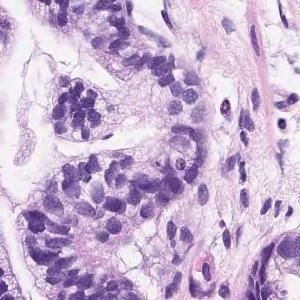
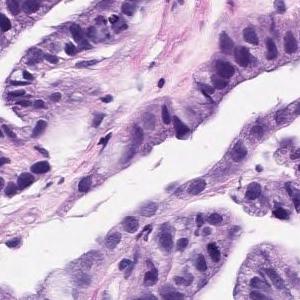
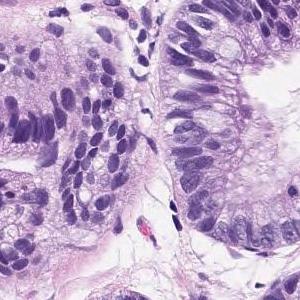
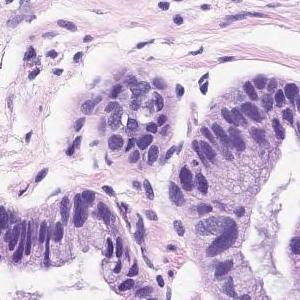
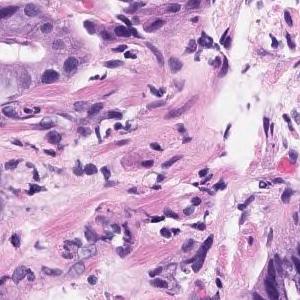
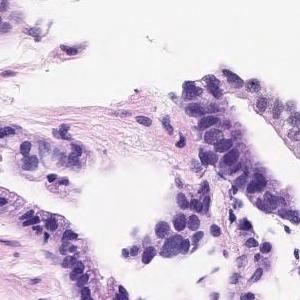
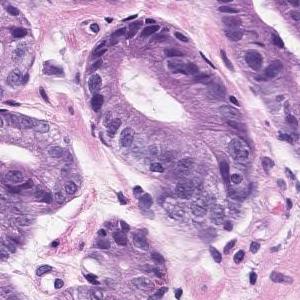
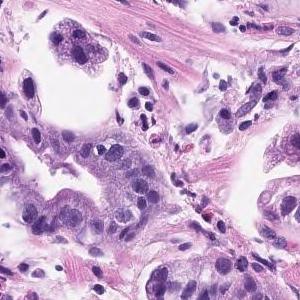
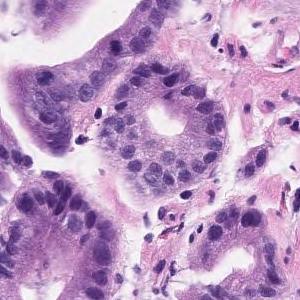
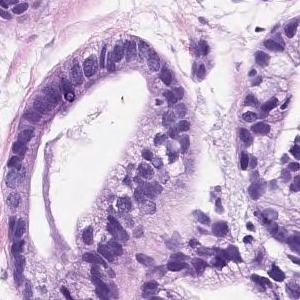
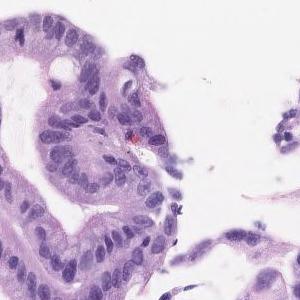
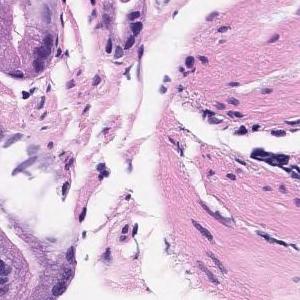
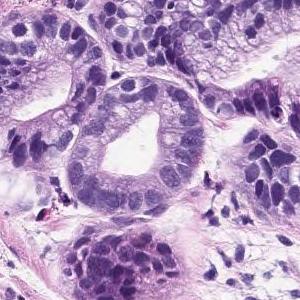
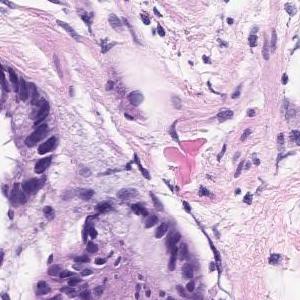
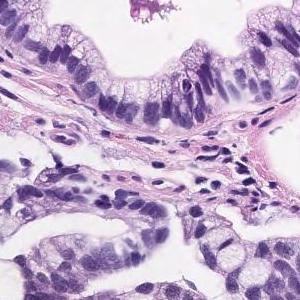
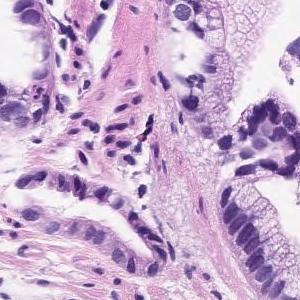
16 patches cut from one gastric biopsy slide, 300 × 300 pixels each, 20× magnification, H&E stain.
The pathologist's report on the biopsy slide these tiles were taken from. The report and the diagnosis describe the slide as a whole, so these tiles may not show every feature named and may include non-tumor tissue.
The superficial tumors shows large papillary structures or large and small ducts and infiltrates. Papillary adenocarcinoma.
